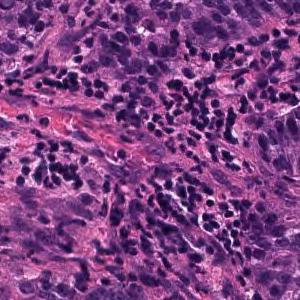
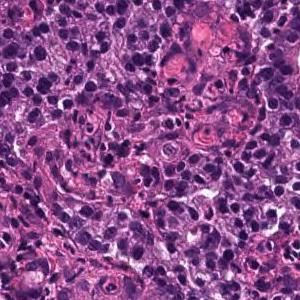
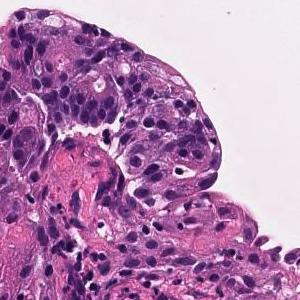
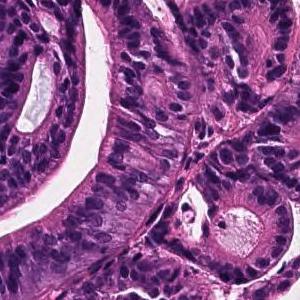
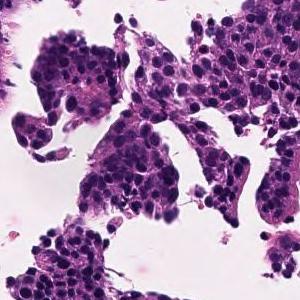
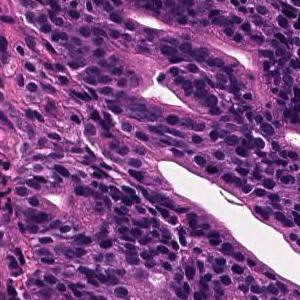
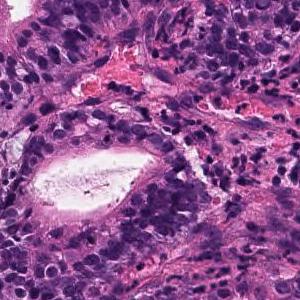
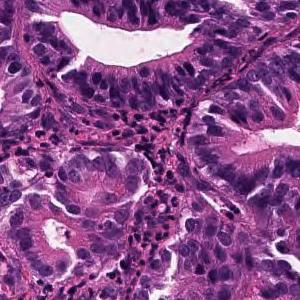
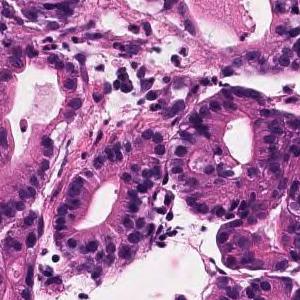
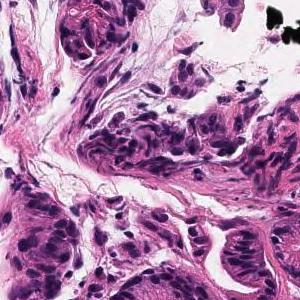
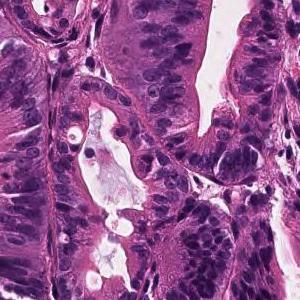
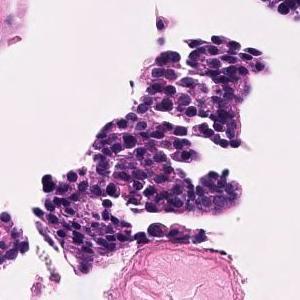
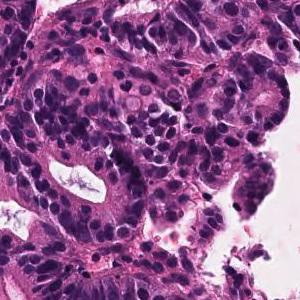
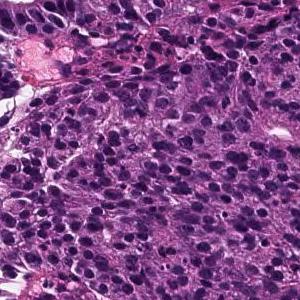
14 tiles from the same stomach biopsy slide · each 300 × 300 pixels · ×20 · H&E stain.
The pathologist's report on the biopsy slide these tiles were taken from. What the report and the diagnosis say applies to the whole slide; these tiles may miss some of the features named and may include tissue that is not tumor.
In the superficial epithelium, tumor tissue that invades by forming medium-sized to small, irregular ducts is observed. Moderately differentiated adenocarcinoma.
Tumor subtype: moderately differentiated tubular adenocarcinoma.
